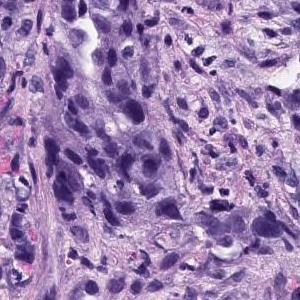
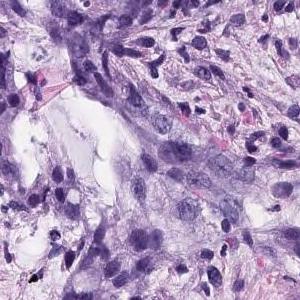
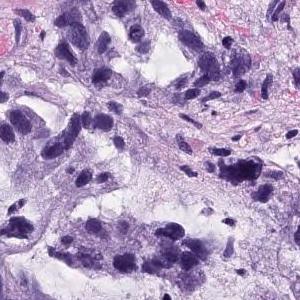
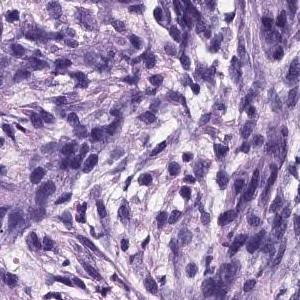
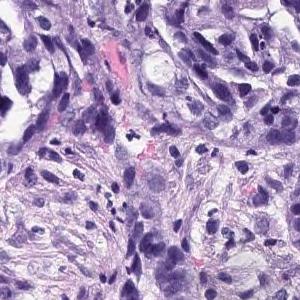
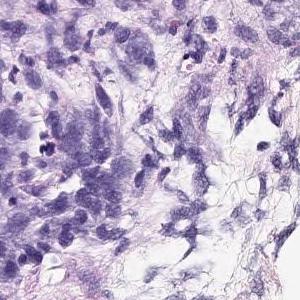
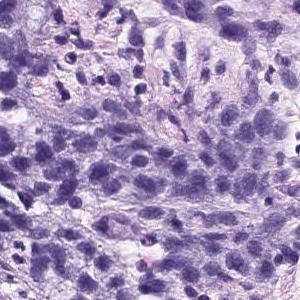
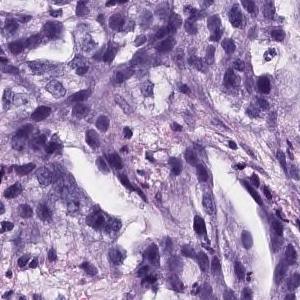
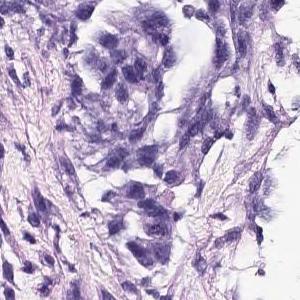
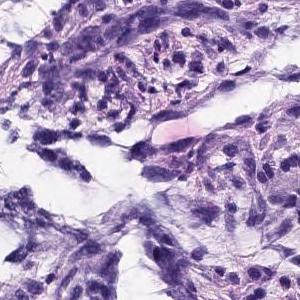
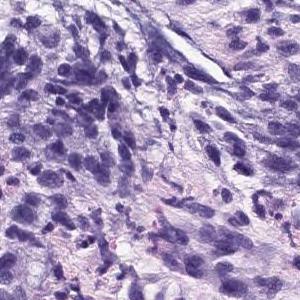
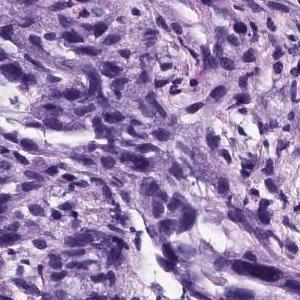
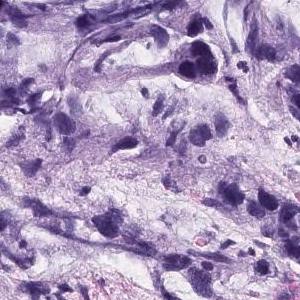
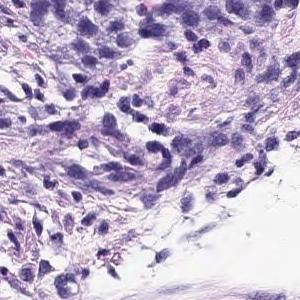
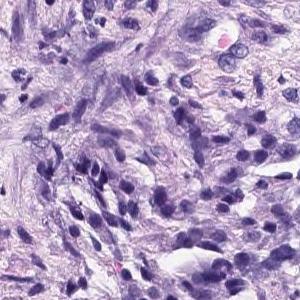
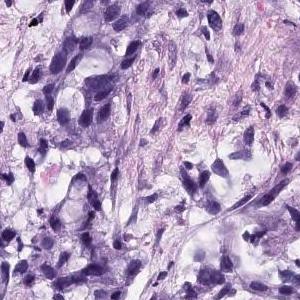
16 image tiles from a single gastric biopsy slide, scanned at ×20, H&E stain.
Diagnostic report for the slide these tiles come from. Both the report and the diagnosis are for the whole slide: these tiles need not show every feature named, and some of the tissue shown may not be tumor.
Atypical l cells with atypical nuclei forming solid or diffuse vesicle nests and proliferating in a complex manner. Poorly differentiated adenocarcinoma, moderately differentiated tubular adenocarcinoma
Histologic type: Moderately to poorly differentiated adenocarcinoma.
